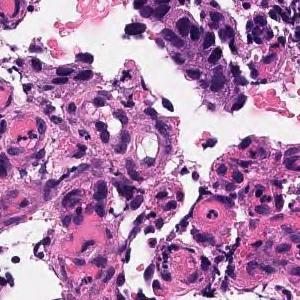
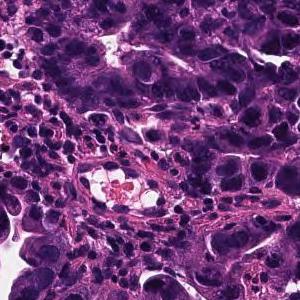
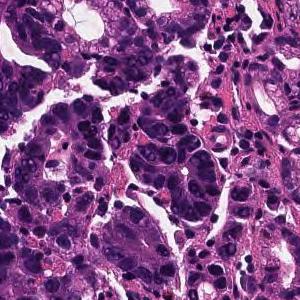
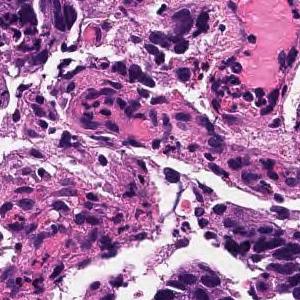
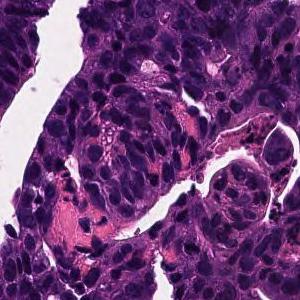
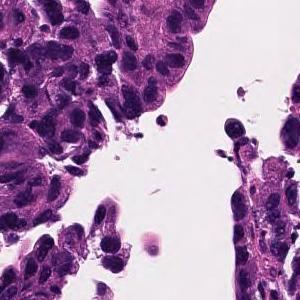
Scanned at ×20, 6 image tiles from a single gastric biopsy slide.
Pathology report for the biopsy slide these tiles were cut from. What the report and the diagnosis say applies to the whole slide; these tiles may miss some of the features named and may include tissue that is not tumor.
In the superficial epithelium, tumor tissue that invades by forming medium-sized to small, irregular ducts is observed. moderately differentiated tubular adenocarcinoma.
